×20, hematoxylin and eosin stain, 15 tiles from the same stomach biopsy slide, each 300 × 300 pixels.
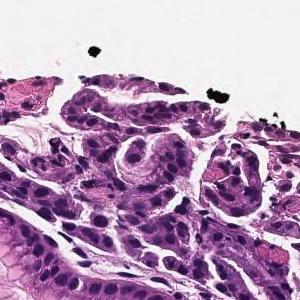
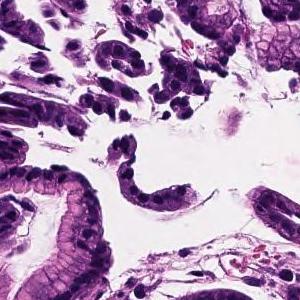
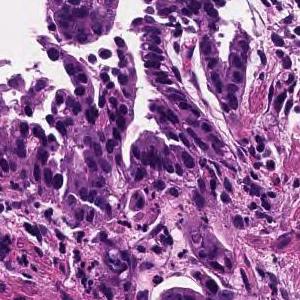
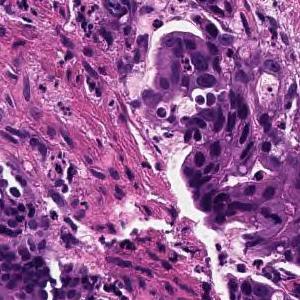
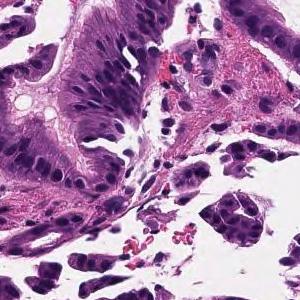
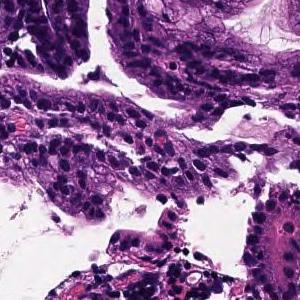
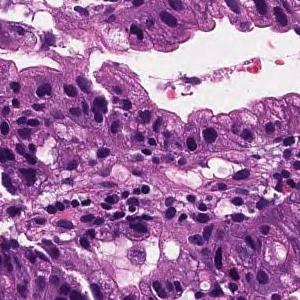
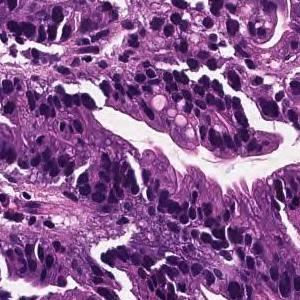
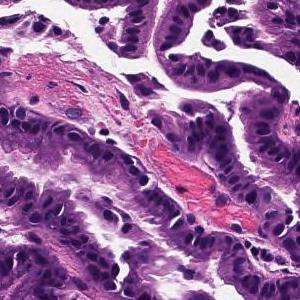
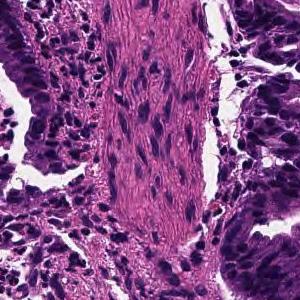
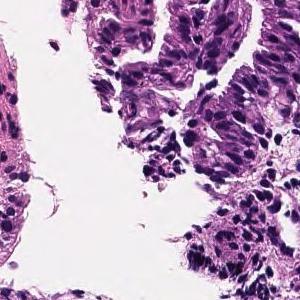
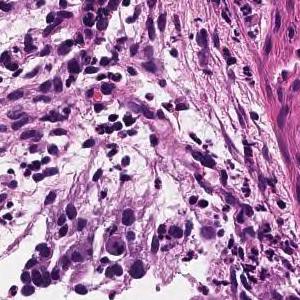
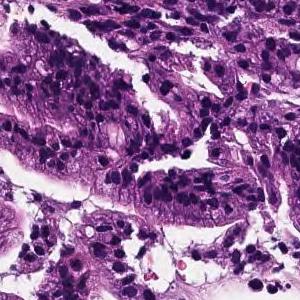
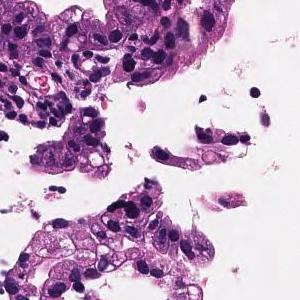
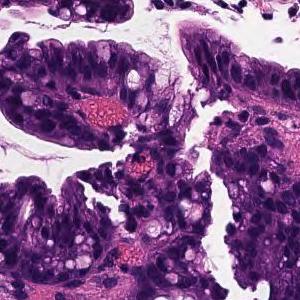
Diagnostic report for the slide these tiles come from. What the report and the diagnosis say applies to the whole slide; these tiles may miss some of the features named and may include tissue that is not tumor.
On the superficial epithelium, tumor tissue that infiltrates by forming medium-sized papillary or small irregular ducts is observed. Papillary adenocarcinoma
